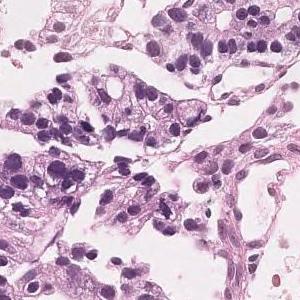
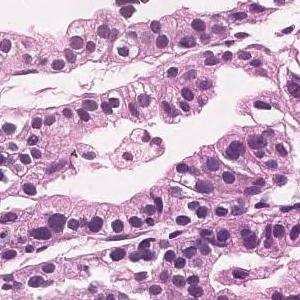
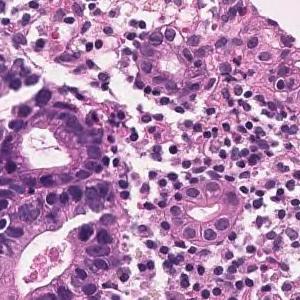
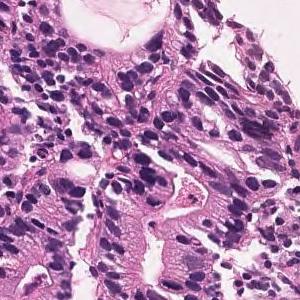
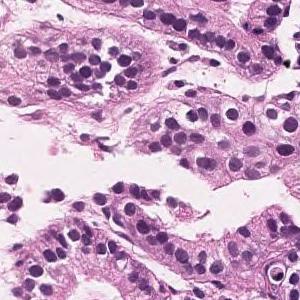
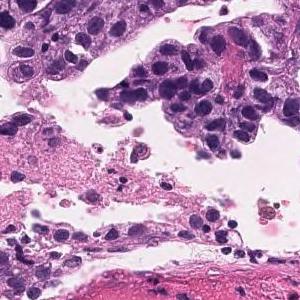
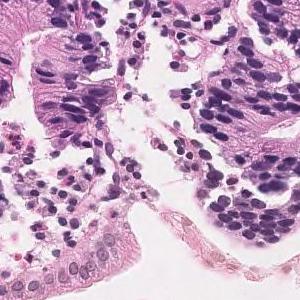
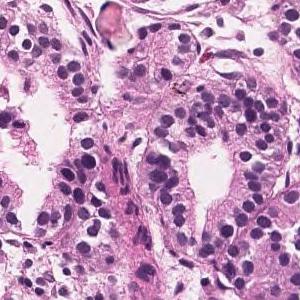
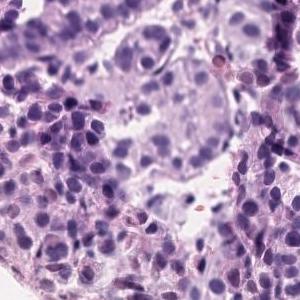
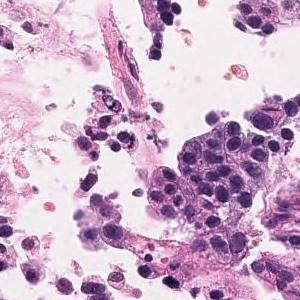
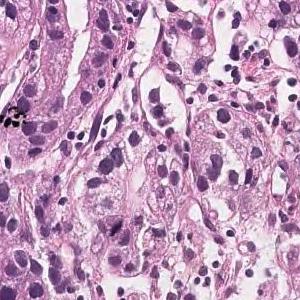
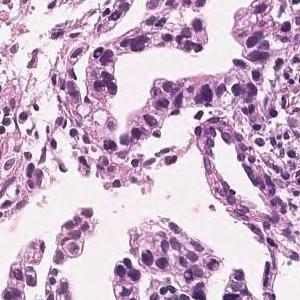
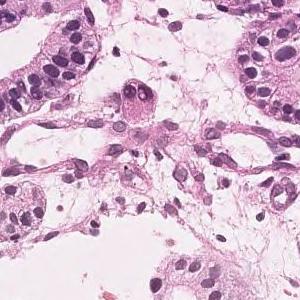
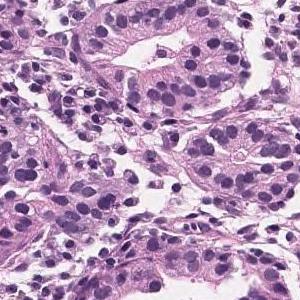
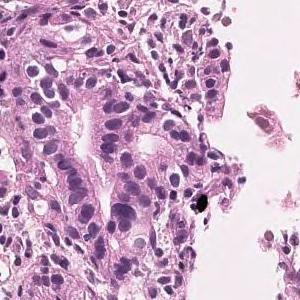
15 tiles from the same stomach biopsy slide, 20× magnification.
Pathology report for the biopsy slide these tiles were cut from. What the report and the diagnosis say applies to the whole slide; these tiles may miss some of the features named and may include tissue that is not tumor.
In the superficial epithelium, tumor tissue that invades by forming medium-sized to small, irregular ducts is observed. moderately differentiated tubular adenocarcinoma.
